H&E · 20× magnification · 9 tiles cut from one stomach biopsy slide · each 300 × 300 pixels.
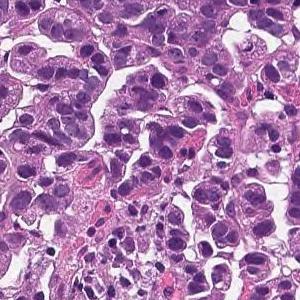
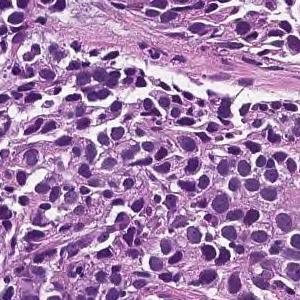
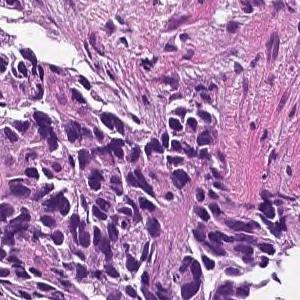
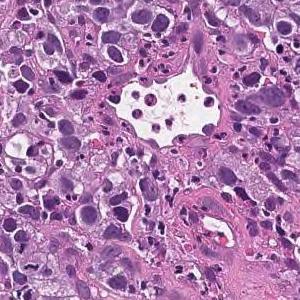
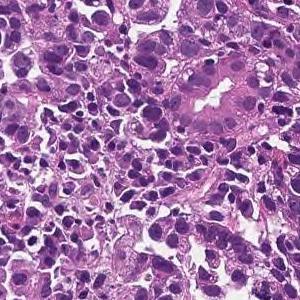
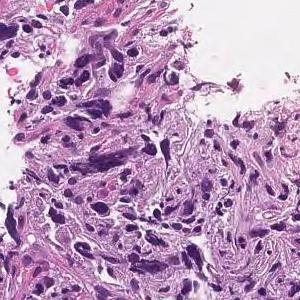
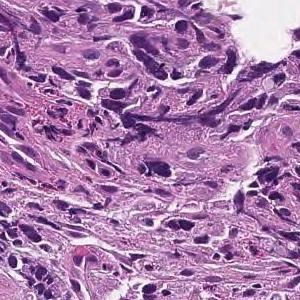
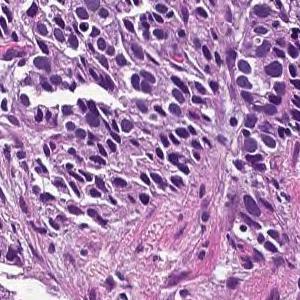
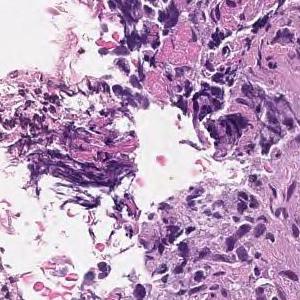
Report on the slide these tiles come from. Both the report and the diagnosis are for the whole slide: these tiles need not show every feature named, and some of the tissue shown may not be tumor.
The superficial epithelium shows a large sheet-like shape, and some tumor tissue infiltrates with small irregular ducts. Poorly differentiated adenocarcinoma, solid-type
Tumor subtype: poorly differentiated adenocarcinoma, solid type, a category of the Japanese Classification of Gastric Carcinoma; in the WHO 2019 classification it is tubular adenocarcinoma, poorly differentiated.
